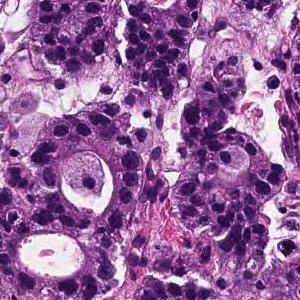
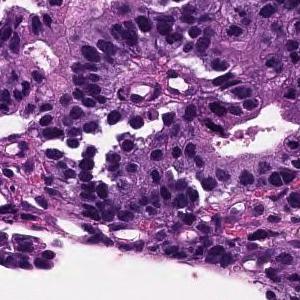
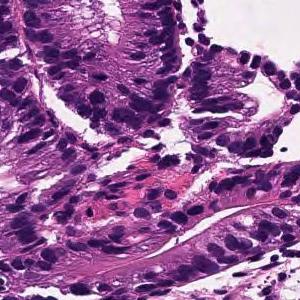
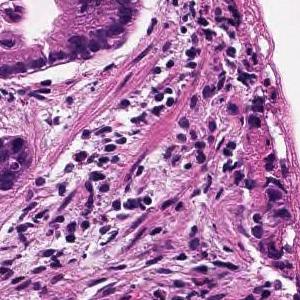
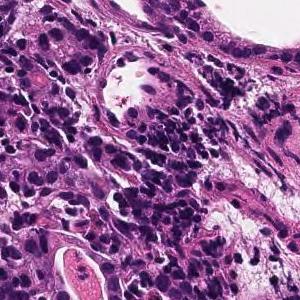
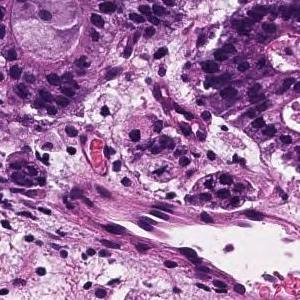
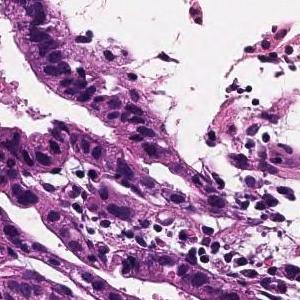
7 tiles from the same stomach biopsy slide; 300×300 px each; hematoxylin and eosin stain.
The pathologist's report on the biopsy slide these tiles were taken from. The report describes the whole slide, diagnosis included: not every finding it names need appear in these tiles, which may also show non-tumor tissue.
From the superficial epithelium to the muscularis mucosae, tumor tissue consisting of medium-sized and irregular glandular ducts infiltrating is observed. Well differentiated tubular adenocarcinoma
